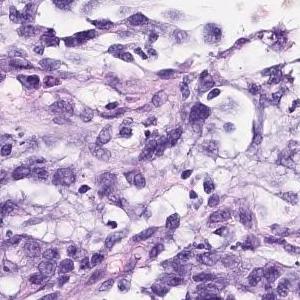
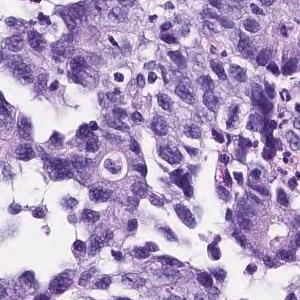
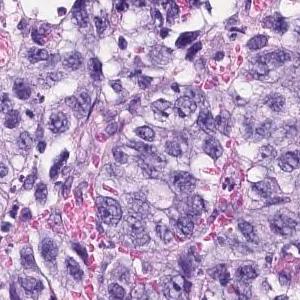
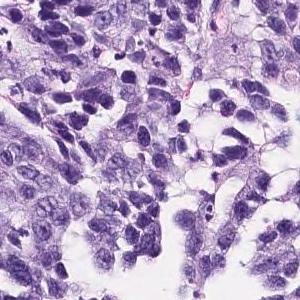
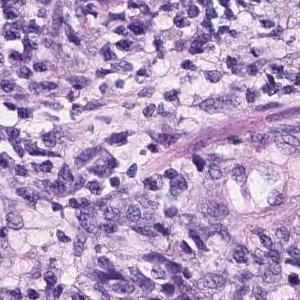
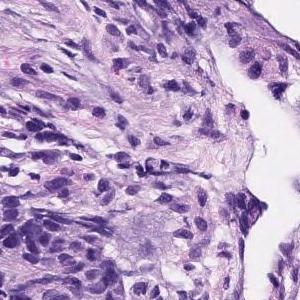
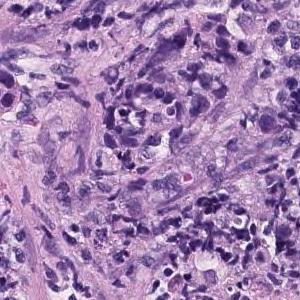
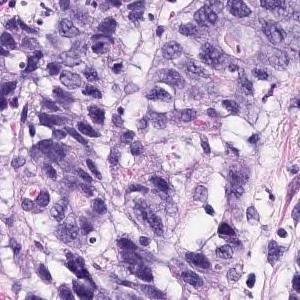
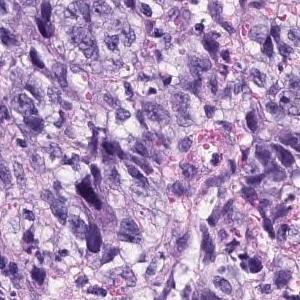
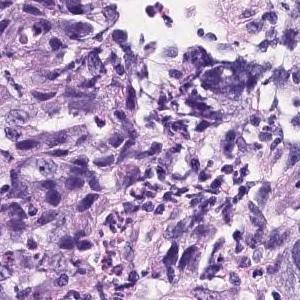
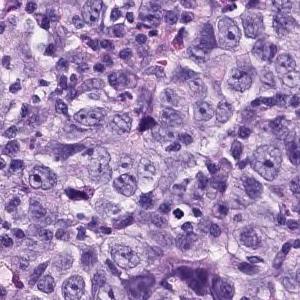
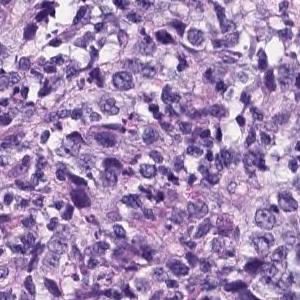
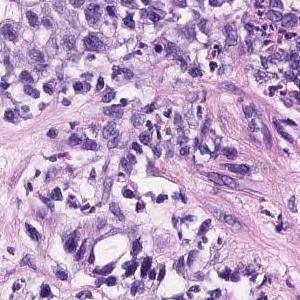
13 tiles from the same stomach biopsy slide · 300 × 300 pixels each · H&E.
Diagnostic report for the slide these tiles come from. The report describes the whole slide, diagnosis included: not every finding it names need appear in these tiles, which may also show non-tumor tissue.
The superficial epithelium shows a large sheet-like shape, and some tumor tissue infiltrates with small irregular ducts. Poorly differentiated adenocarcinoma, solid-type
Histologic type: Poorly differentiated adenocarcinoma, solid type. This name comes from the Japanese Classification of Gastric Carcinoma; the WHO 2019 classification calls it tubular adenocarcinoma, poorly differentiated.
